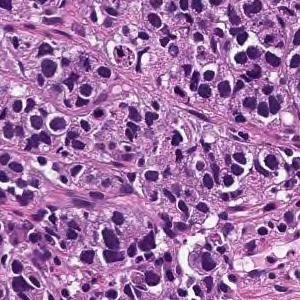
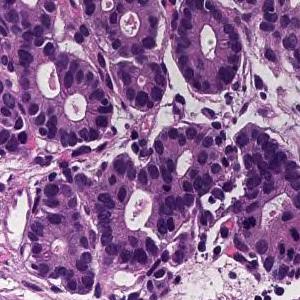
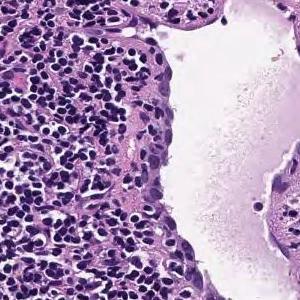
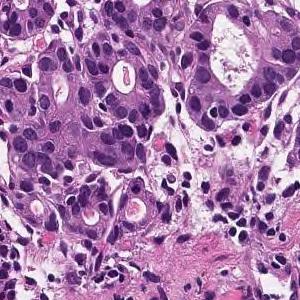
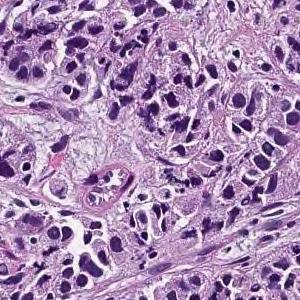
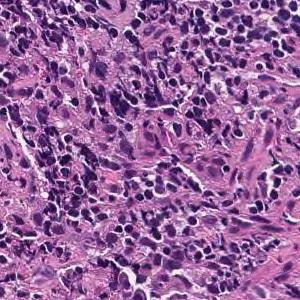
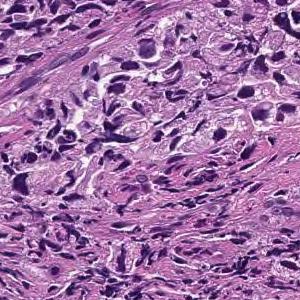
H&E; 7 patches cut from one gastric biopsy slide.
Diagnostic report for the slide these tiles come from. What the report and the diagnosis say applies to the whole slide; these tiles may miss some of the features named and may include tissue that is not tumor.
The lamina propria shows small cord-like tumor tissue that infiltrates with fibrosis and marked chronic inflammatory cell infiltration. Poorly differentiated adenocarcinoma, non-solid type
The term "non-solid type" comes from the Japanese Classification of Gastric Carcinoma.
